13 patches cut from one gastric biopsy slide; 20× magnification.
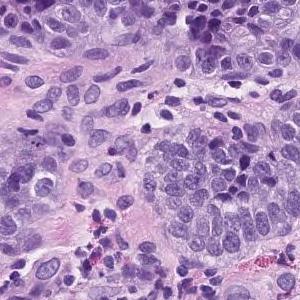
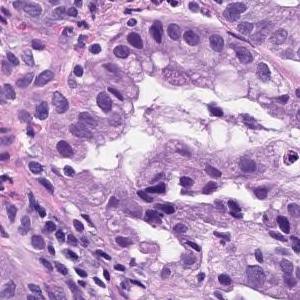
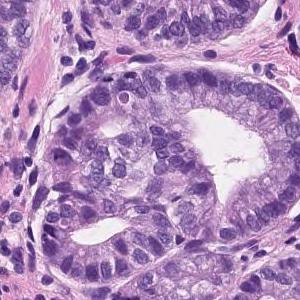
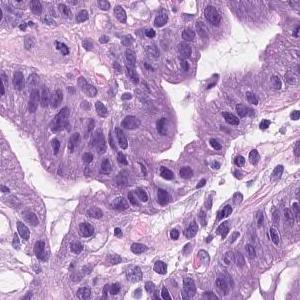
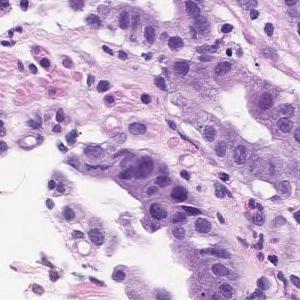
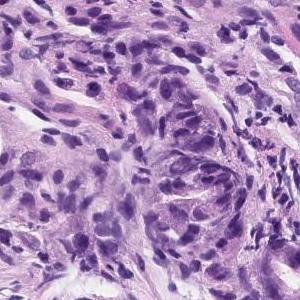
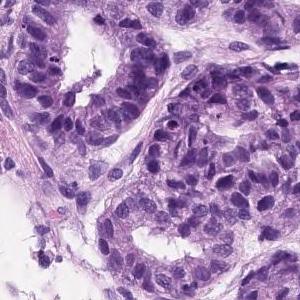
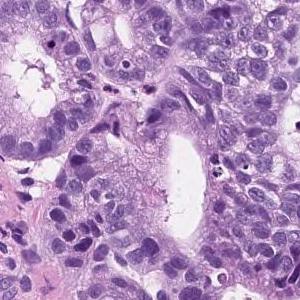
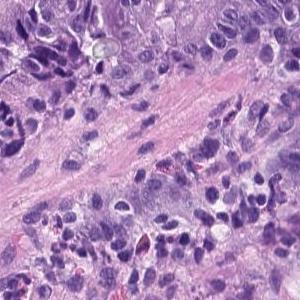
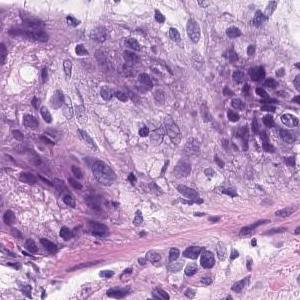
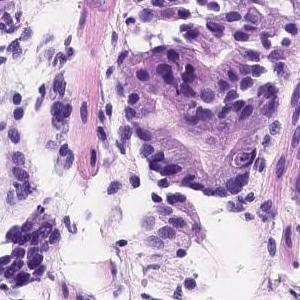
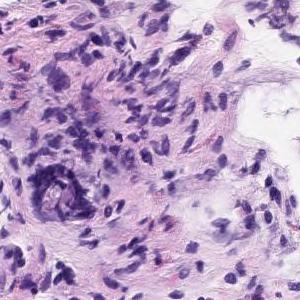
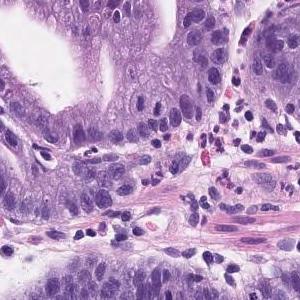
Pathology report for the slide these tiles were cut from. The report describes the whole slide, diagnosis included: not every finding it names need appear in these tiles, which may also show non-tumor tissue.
Tumor tissue consisting of medium-sized and irregular ducts is observed infiltrating in the superficial epithelium. Tumor cells are highly columnar, with nuclei aligned basolaterally and polarized. Well differentiated tubular adenocarcinoma.
